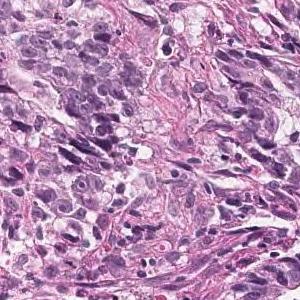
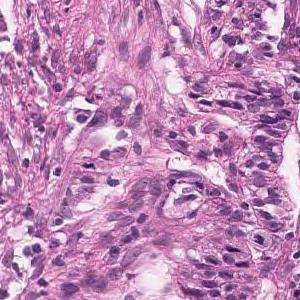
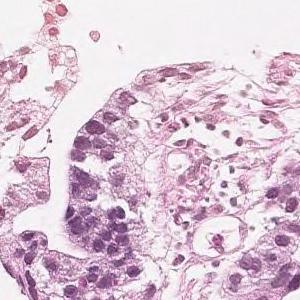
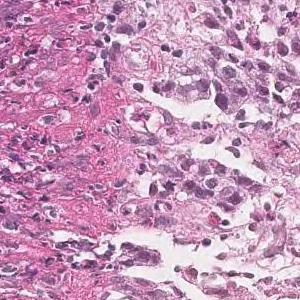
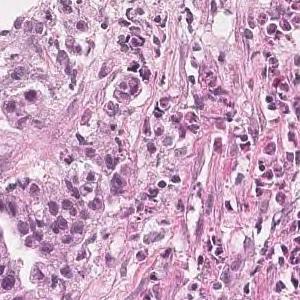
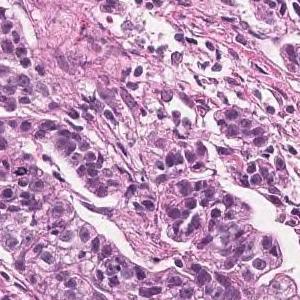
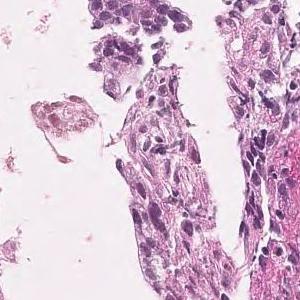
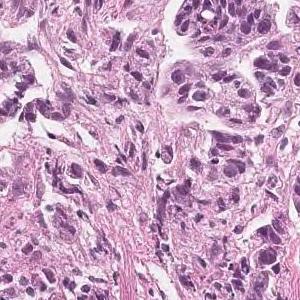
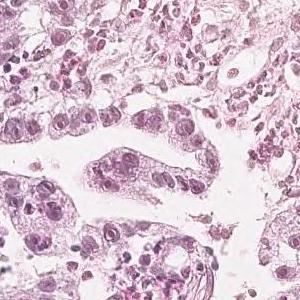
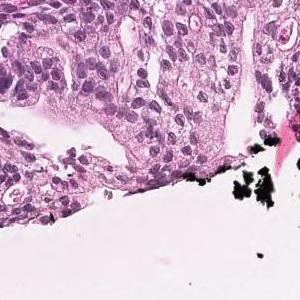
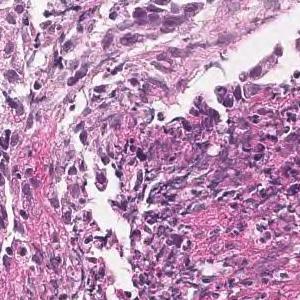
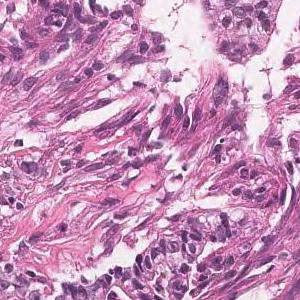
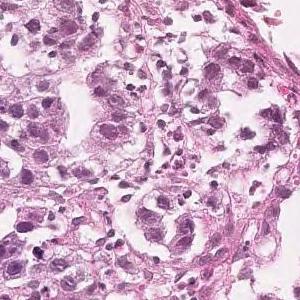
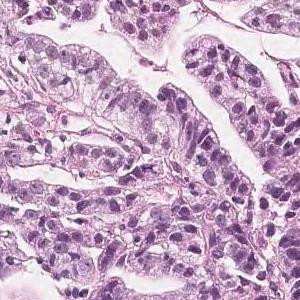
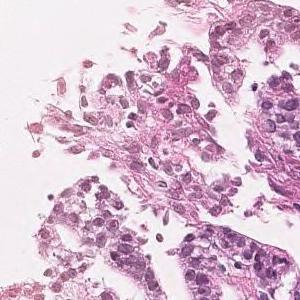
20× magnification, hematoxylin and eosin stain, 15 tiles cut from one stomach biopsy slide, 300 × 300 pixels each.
Report on the slide these tiles come from. The report and the diagnosis describe the slide as a whole, so these tiles may not show every feature named and may include non-tumor tissue.
Tumor tissue in which highly columnar atypical epithelial cells with nuclear enlargement and increased nuclear chromatin show papillary to papillary ductal structure and proliferate is observed. Papillary adenocarcinoma.
